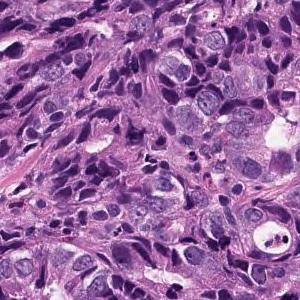
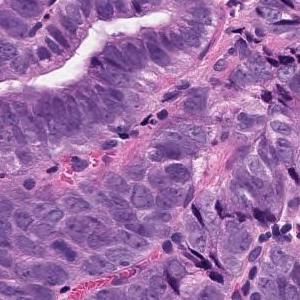
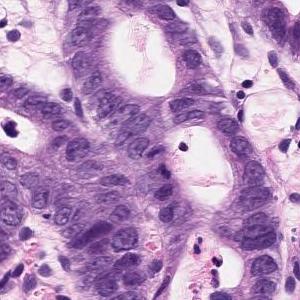
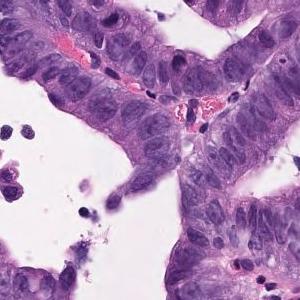
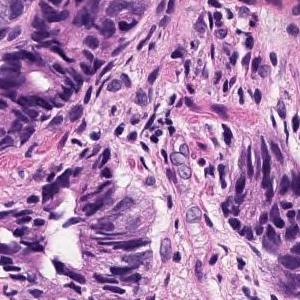
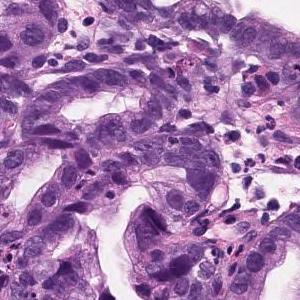
6 tiles from the same stomach biopsy slide · each 300 × 300 pixels · scanned at ×20.
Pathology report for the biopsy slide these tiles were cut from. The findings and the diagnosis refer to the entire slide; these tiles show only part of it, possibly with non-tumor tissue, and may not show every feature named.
The swollen atypical epithelium of the nucleus forms an irregular ductal structure and proliferates. moderately differentiated tubular adenocarcinoma
